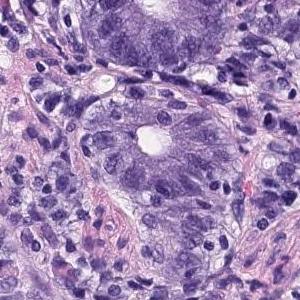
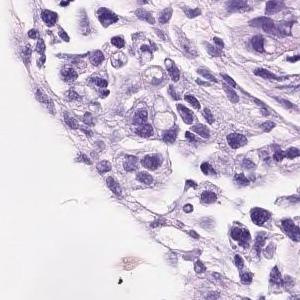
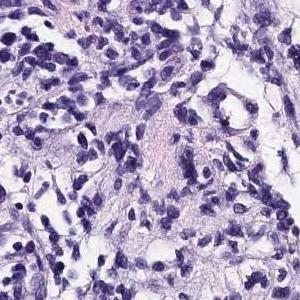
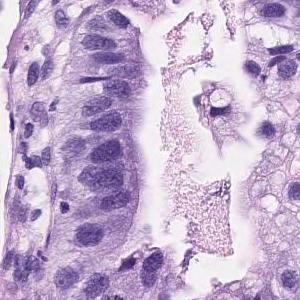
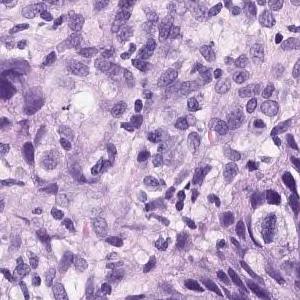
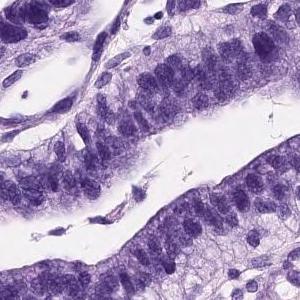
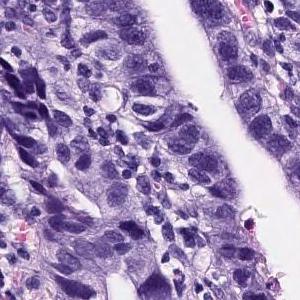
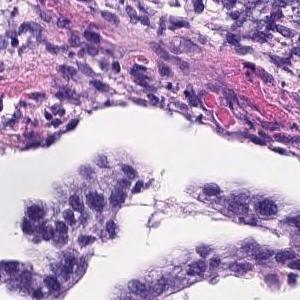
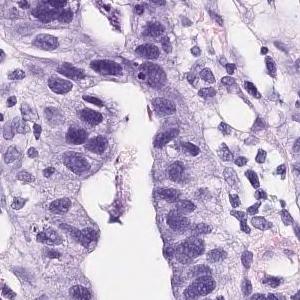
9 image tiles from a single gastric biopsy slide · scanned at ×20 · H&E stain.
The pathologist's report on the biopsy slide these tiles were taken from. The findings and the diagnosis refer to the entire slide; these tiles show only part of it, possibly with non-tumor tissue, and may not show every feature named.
On the superficial epithelium, tumor tissue consisting of medium to small irregular tubules partially fused and proliferated is observed. moderately differentiated tubular adenocarcinoma
